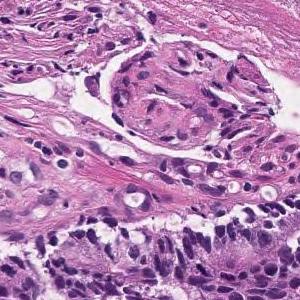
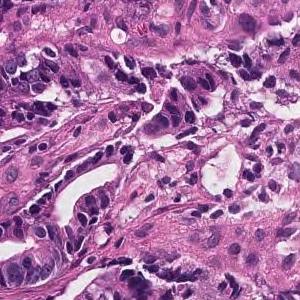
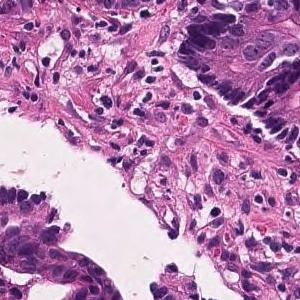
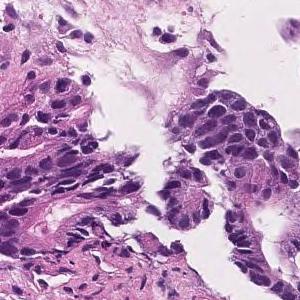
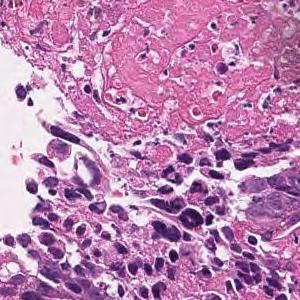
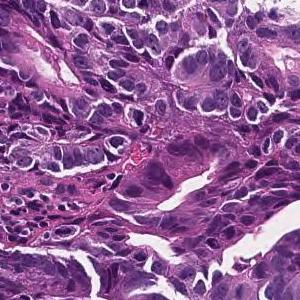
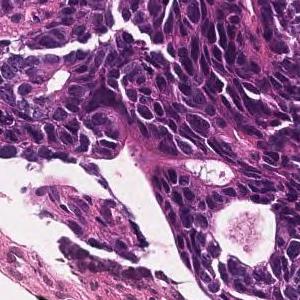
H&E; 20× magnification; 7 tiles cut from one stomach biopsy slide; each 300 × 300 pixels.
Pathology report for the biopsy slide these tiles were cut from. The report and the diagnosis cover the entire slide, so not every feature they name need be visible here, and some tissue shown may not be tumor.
In the superficial epithelium, tumor tissue that invades by forming medium-sized to small, irregular ducts is observed. moderately differentiated tubular adenocarcinoma.
